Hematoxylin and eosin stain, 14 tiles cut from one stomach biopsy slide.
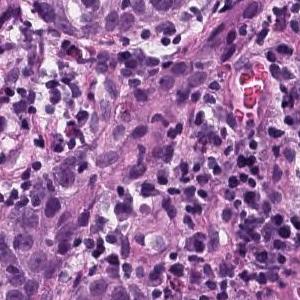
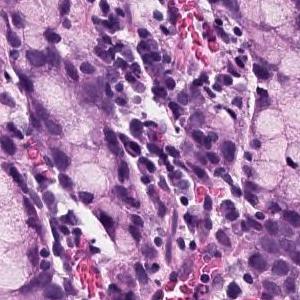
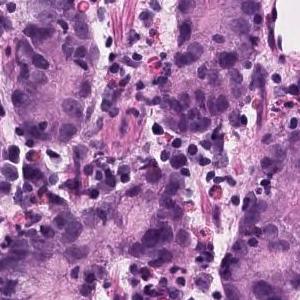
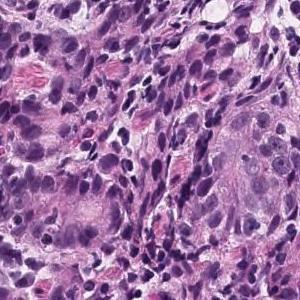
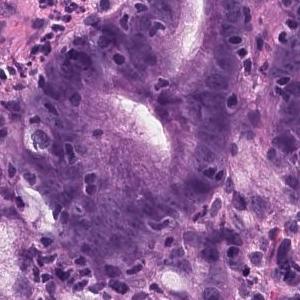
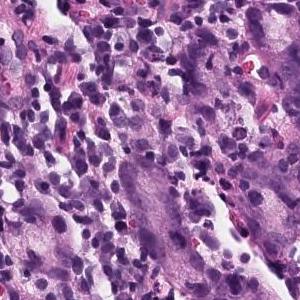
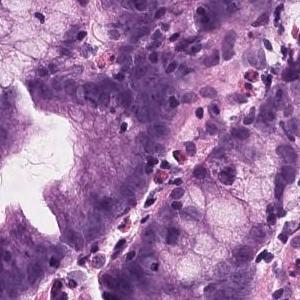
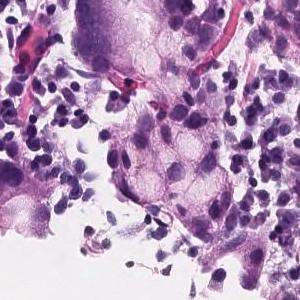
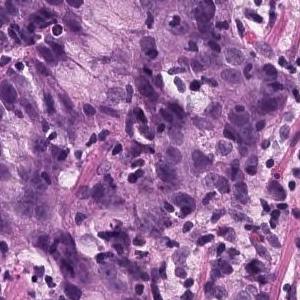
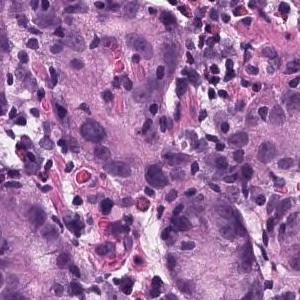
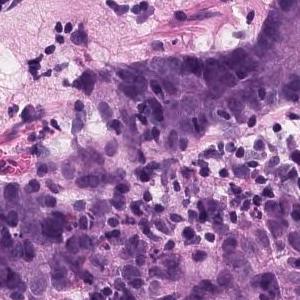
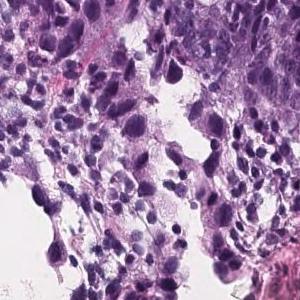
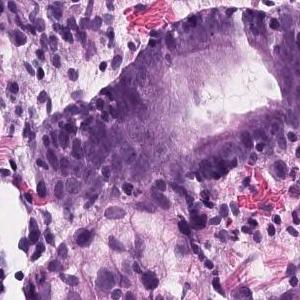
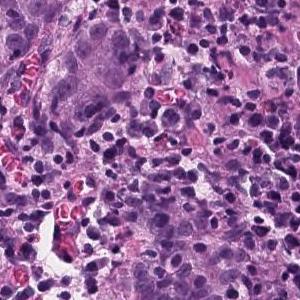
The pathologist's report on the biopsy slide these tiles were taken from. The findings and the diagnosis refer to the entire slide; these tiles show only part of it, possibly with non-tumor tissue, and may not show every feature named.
In the superficial epithelium, tumor tissue that invades by forming medium-sized to small, irregular ducts is observed. Moderately differentiated adenocarcinoma.
Histological subtype: Moderately differentiated tubular adenocarcinoma.
